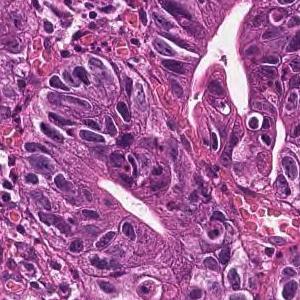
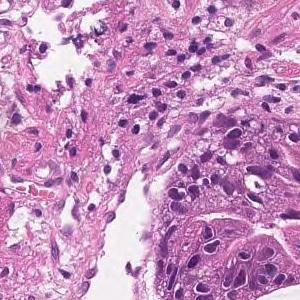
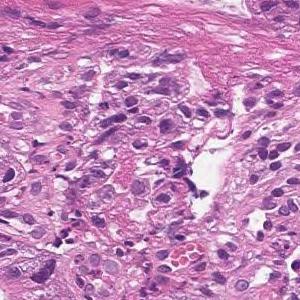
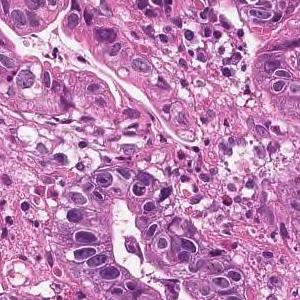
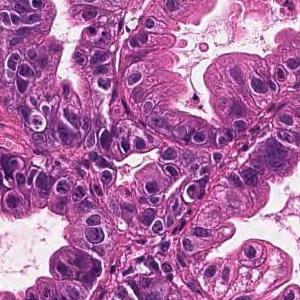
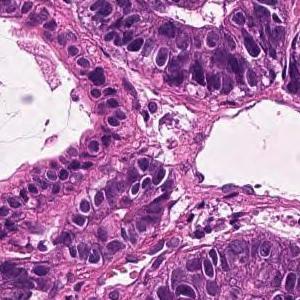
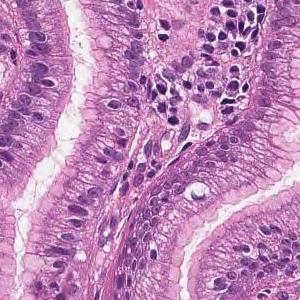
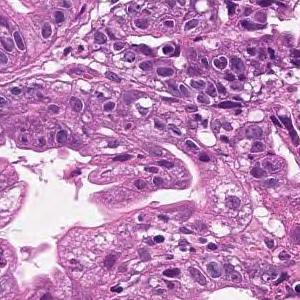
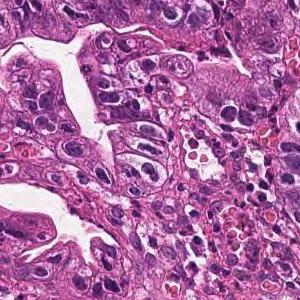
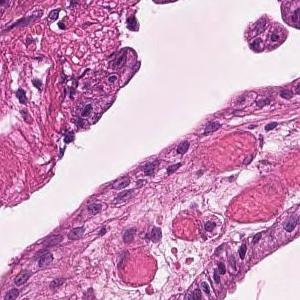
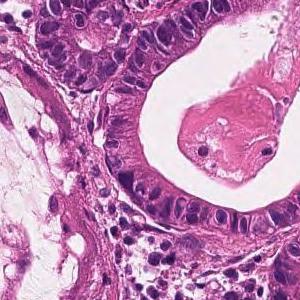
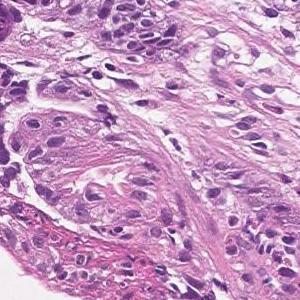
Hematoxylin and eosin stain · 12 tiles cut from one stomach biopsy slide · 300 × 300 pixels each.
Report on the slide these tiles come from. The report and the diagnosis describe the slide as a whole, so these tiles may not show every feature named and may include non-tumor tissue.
In the superficial epithelium, tumor tissue that invades by forming medium-sized to small, irregular ducts is observed. Well differentiated tubular adenocarcinoma.
